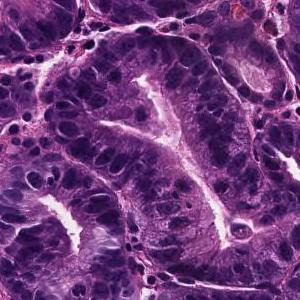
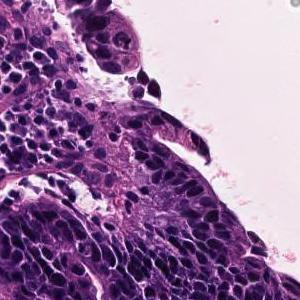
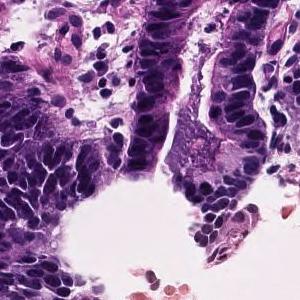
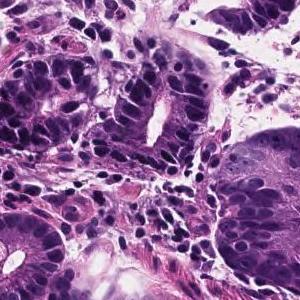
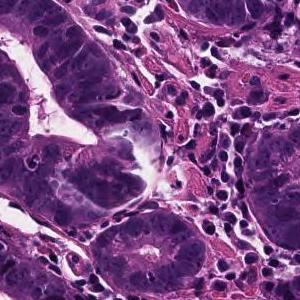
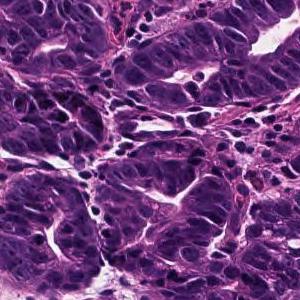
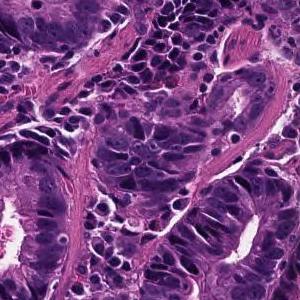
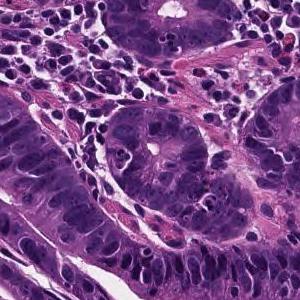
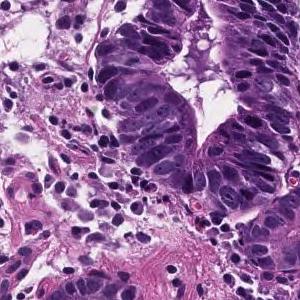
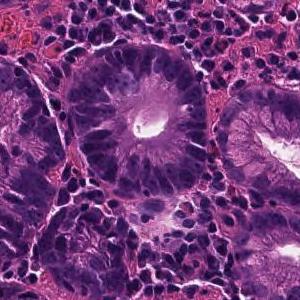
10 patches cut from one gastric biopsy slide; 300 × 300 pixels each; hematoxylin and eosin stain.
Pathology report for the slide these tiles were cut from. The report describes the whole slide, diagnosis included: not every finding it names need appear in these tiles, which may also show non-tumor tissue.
On the superficial epithelium, tumor tissue consisting of growth of medium-sized to large-sized, round or irregular glandular ducts is observed. Well differentiated tubular adenocarcinoma
